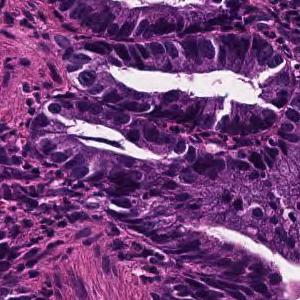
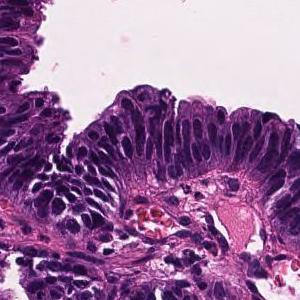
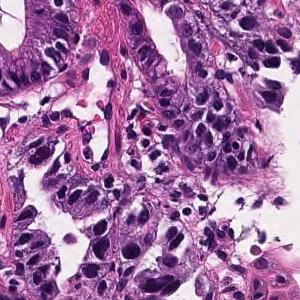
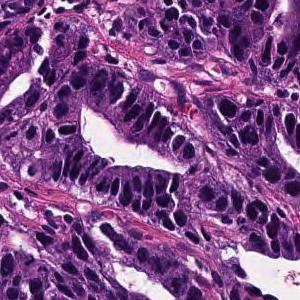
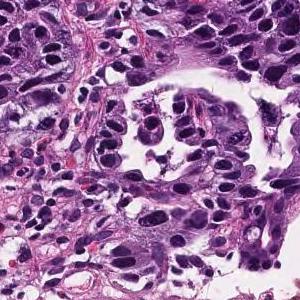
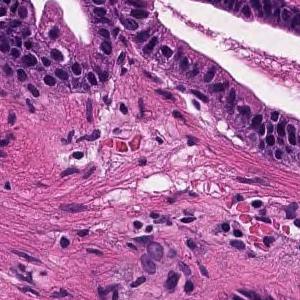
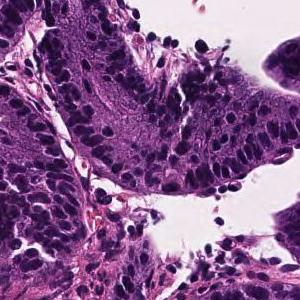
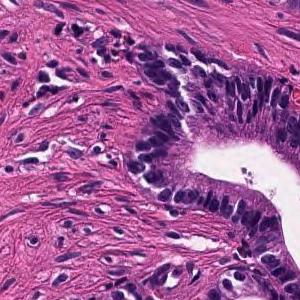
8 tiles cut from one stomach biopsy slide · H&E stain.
Report on the slide these tiles come from. The report and the diagnosis describe the slide as a whole, so these tiles may not show every feature named and may include non-tumor tissue.
Tumor cells are large, highly columnar, large club-shaped nuclei, and are associated with chromatin aggregation. Papillary adenocarcinoma.
